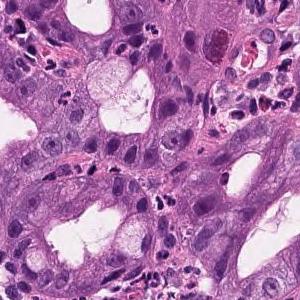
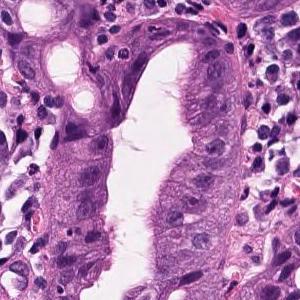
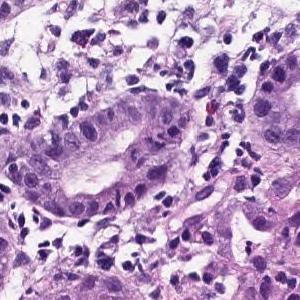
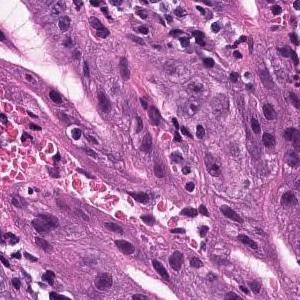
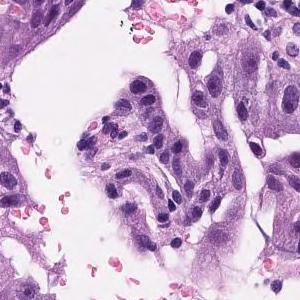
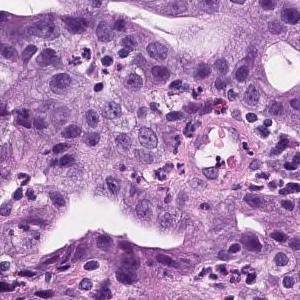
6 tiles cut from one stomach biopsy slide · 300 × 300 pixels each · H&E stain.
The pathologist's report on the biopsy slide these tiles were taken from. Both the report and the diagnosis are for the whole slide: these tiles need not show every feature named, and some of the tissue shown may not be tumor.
In the superficial epithelium, tumor tissue that invades by forming medium-sized to small, irregular ducts is observed. Well to moderately differentiated adenocarcinoma (well differentiated tubular adenocarcinoma, moderately differentiated tubular adenocarcinoma).
Histological subtype: Well to moderately differentiated tubular adenocarcinoma.
